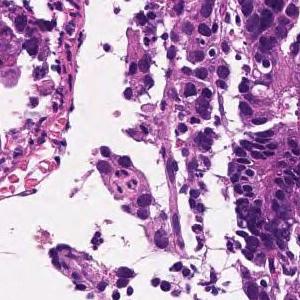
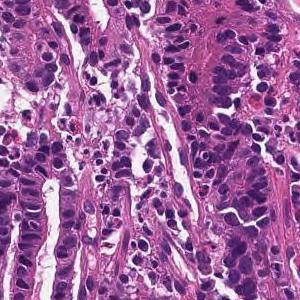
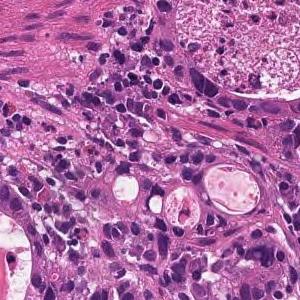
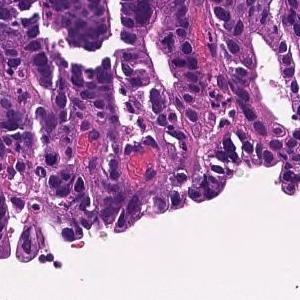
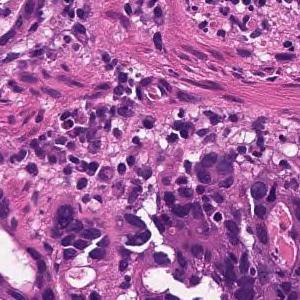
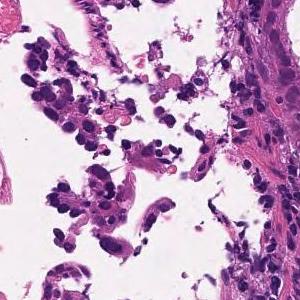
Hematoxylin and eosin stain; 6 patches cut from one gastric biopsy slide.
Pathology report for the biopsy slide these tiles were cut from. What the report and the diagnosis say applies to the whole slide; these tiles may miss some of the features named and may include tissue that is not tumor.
In the superficial epithelium, tumor tissue that invades by forming medium-sized to small, irregular ducts is observed. moderately differentiated tubular adenocarcinoma.
